Hematoxylin and eosin stain, 4 image tiles from a single gastric biopsy slide.
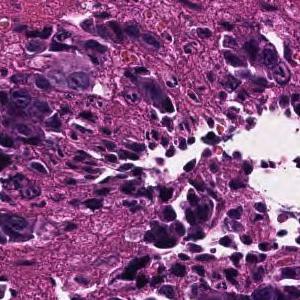
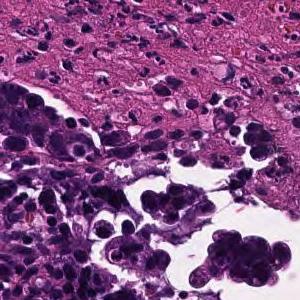
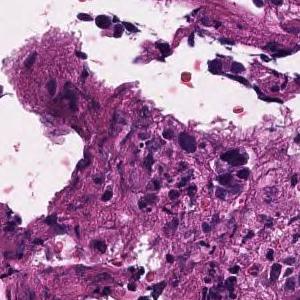
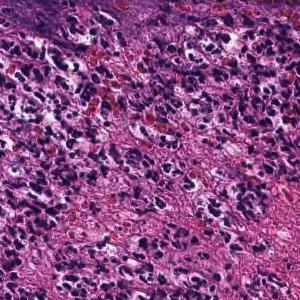
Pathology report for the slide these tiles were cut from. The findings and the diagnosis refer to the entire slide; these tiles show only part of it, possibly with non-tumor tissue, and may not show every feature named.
Tumor tissue consisting of cord-like or small, irregular glandular ducts fused and infiltrated is observed in the superficial epithelium. Poorly differentiated adenocarcinoma, non-solid type
"Non-solid type" is a category of the Japanese Classification of Gastric Carcinoma.
